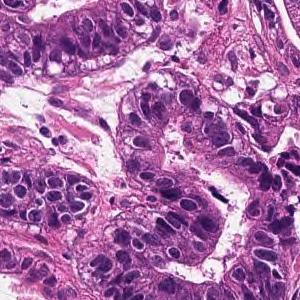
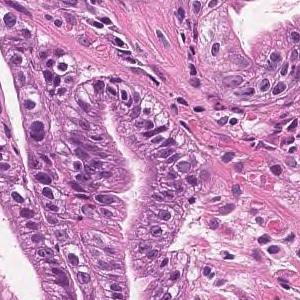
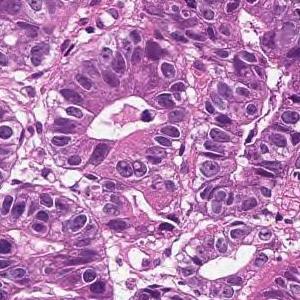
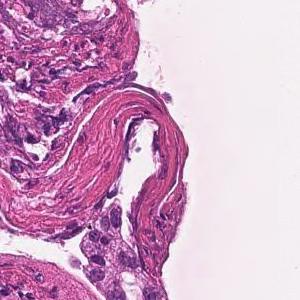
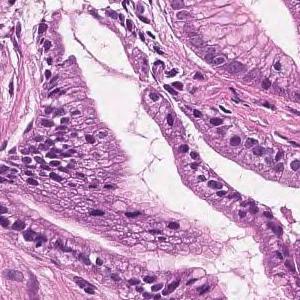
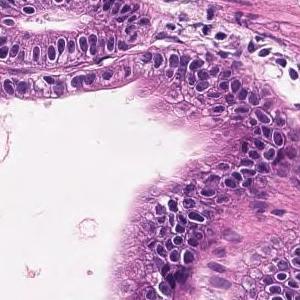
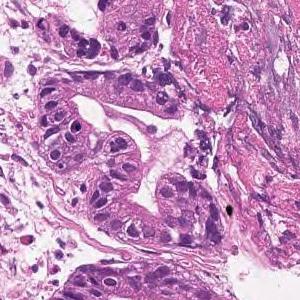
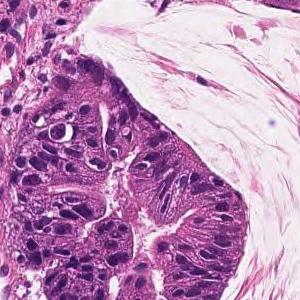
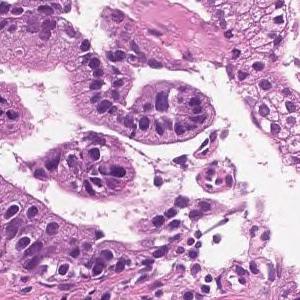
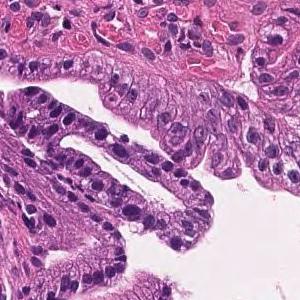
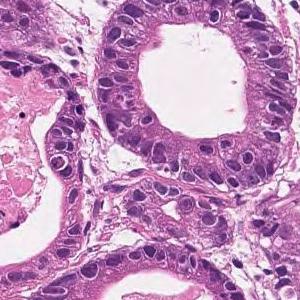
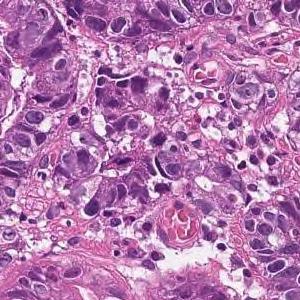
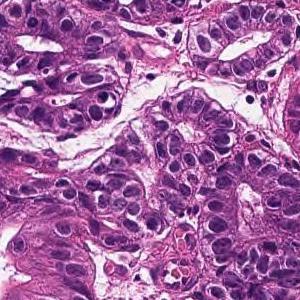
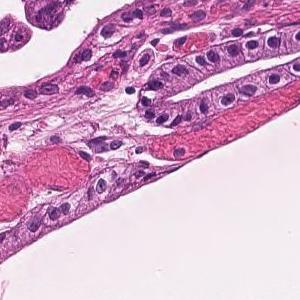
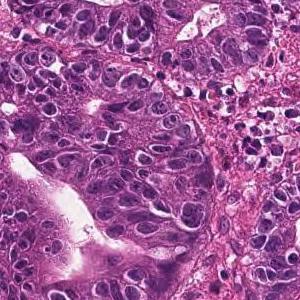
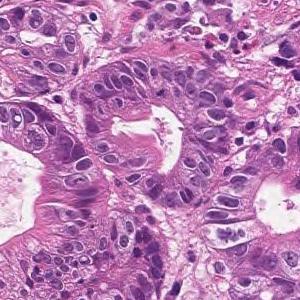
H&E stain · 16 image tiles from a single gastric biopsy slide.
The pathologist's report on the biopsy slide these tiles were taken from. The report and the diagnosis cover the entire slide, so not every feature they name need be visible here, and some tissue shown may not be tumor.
In the superficial epithelium, tumor tissue that invades by forming medium-sized to small, irregular ducts is observed. Well differentiated tubular adenocarcinoma.
